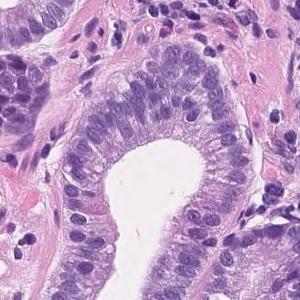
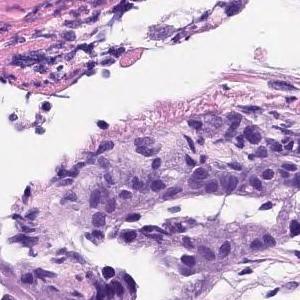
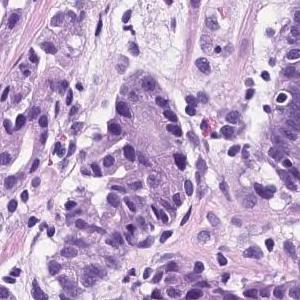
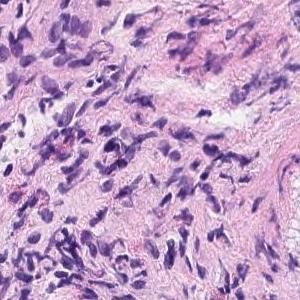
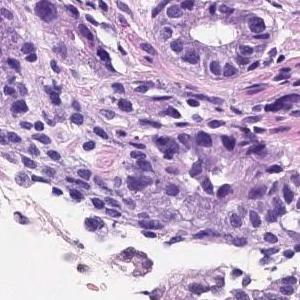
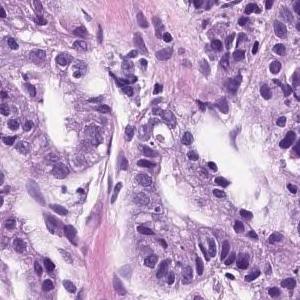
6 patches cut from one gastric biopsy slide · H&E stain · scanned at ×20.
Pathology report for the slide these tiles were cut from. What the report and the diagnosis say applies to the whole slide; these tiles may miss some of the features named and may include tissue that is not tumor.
Tumor tissue consisting of medium-sized and irregular ducts is observed infiltrating in the superficial epithelium. Tumor cells are highly columnar, with nuclei aligned basolaterally and polarized. Well differentiated tubular adenocarcinoma.
